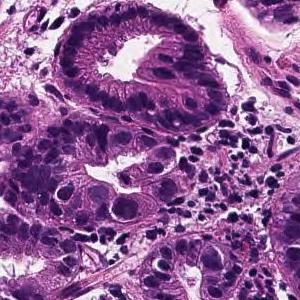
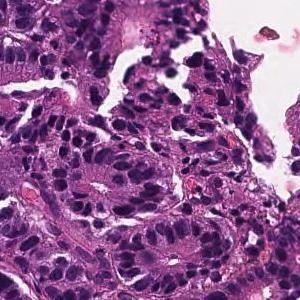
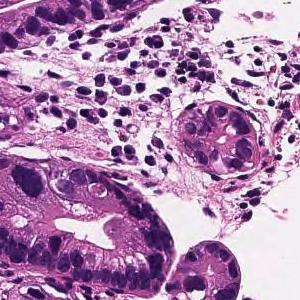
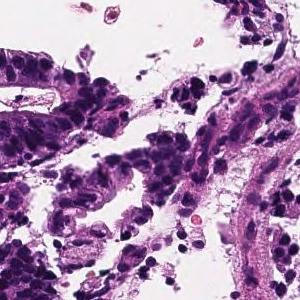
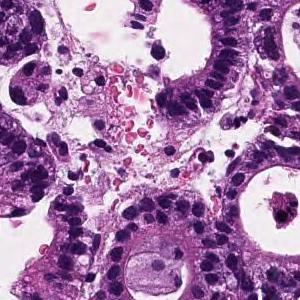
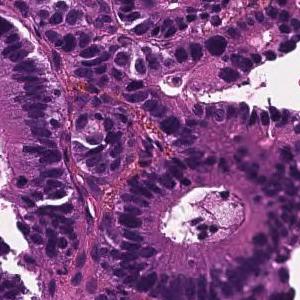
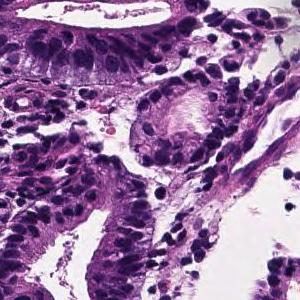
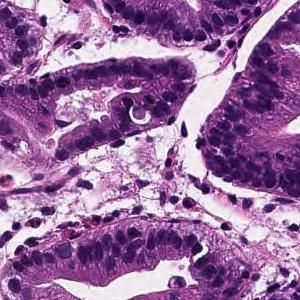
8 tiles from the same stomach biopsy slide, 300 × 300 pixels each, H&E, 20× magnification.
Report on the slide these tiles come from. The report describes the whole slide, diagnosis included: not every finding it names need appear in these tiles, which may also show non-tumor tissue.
From the superficial epithelium to the muscularis mucosae, tumor tissue consisting of medium-sized and irregular glandular ducts infiltrating is observed. Well differentiated tubular adenocarcinoma
